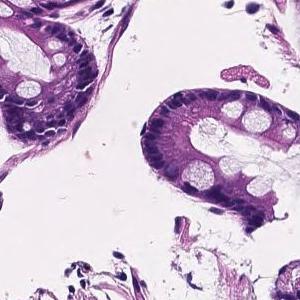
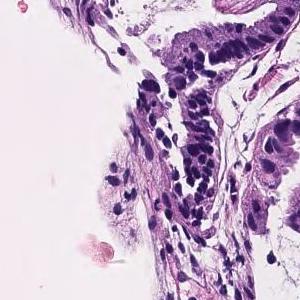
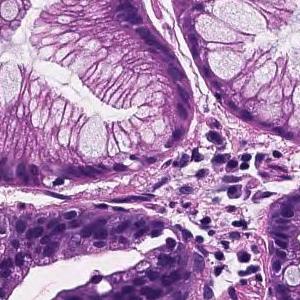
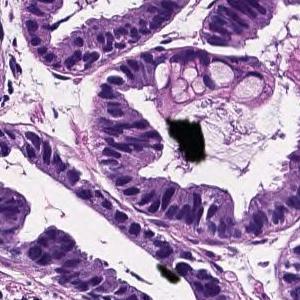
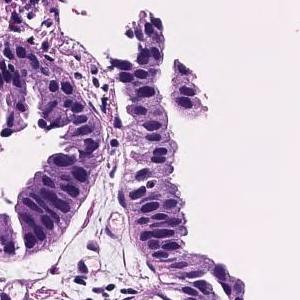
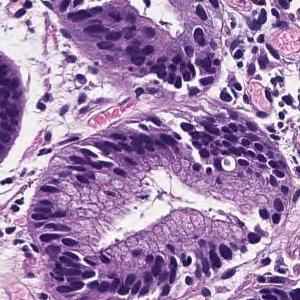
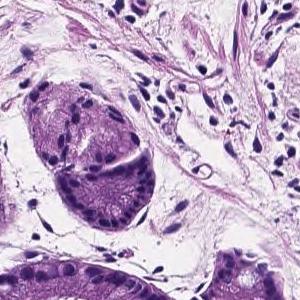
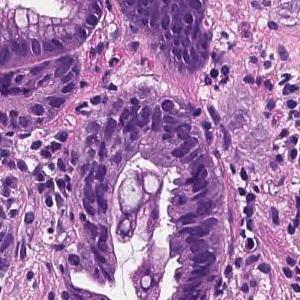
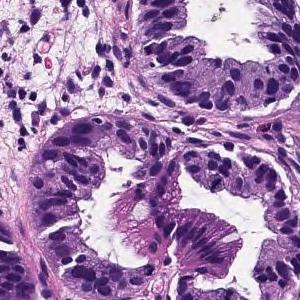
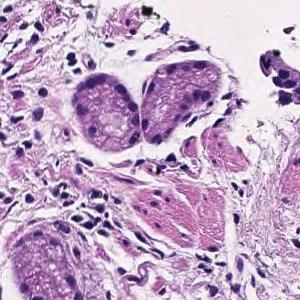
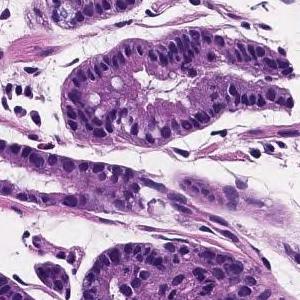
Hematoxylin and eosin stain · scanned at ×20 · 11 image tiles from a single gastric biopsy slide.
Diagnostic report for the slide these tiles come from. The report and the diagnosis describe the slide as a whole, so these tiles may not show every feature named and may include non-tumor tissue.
Tumor cells are large, highly columnar, large club-shaped nuclei, and are associated with chromatin aggregation. Papillary adenocarcinoma.
